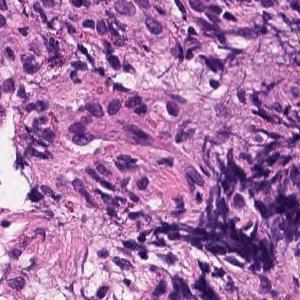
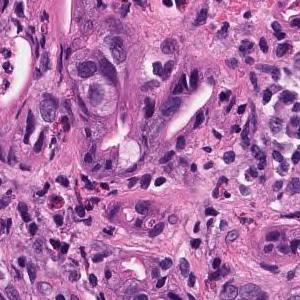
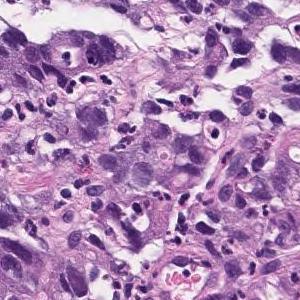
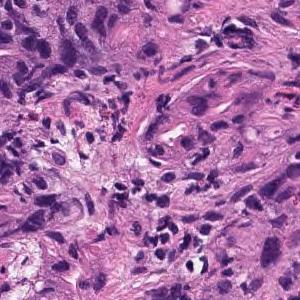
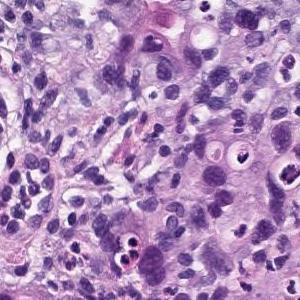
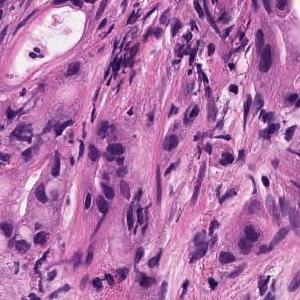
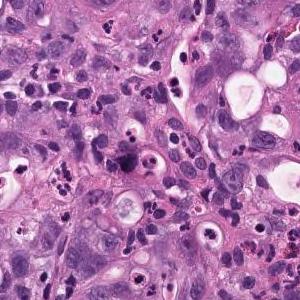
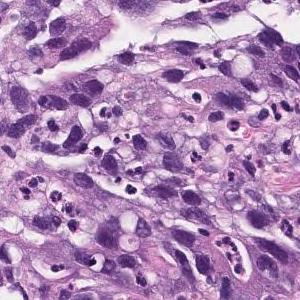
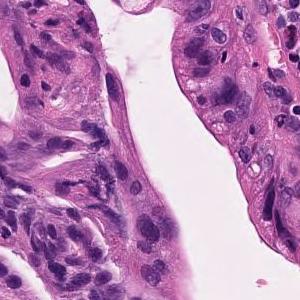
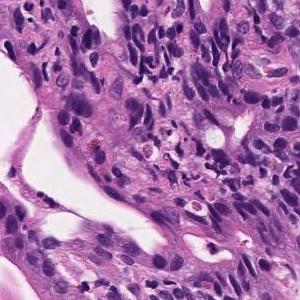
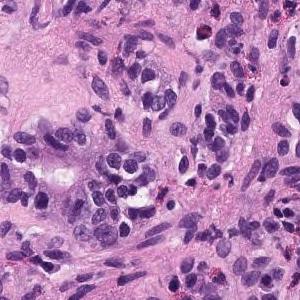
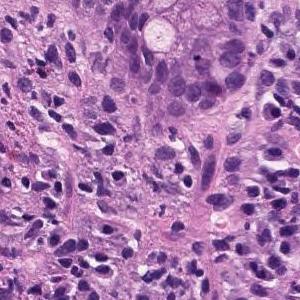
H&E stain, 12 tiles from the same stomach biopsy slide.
Report on the slide these tiles come from. The findings and the diagnosis refer to the entire slide; these tiles show only part of it, possibly with non-tumor tissue, and may not show every feature named.
moderately differentiated tubular adenocarcinoma, Poorly differentiated adenocarcinoma
Dataset label: poorly differentiated adenocarcinoma, solid type (Japanese Classification of Gastric Carcinoma). The WHO 2019 equivalent is tubular adenocarcinoma, poorly differentiated.
